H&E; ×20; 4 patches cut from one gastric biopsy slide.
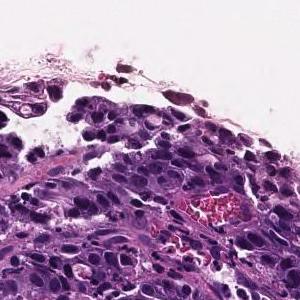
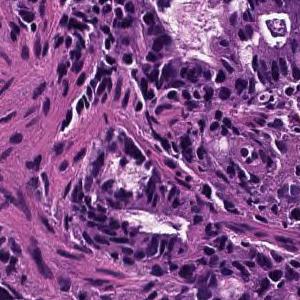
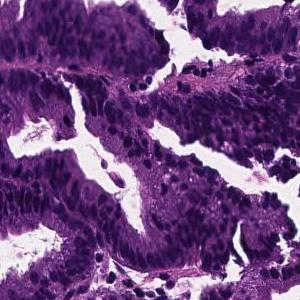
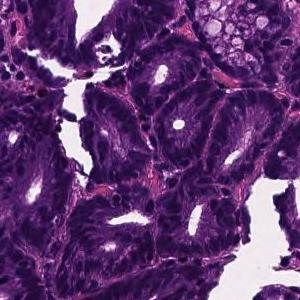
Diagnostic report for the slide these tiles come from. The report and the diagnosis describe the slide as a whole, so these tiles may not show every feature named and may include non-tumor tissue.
In the superficial epithelium, tumor tissue that invades by forming medium-sized to small, irregular ducts is observed. moderately differentiated tubular adenocarcinoma.
